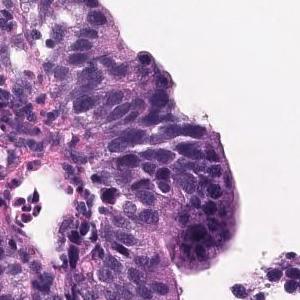
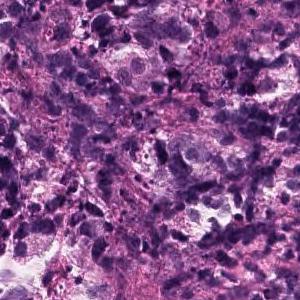
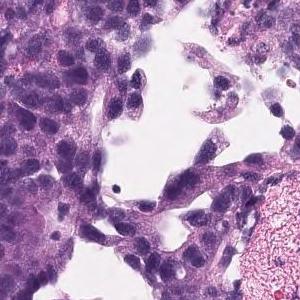
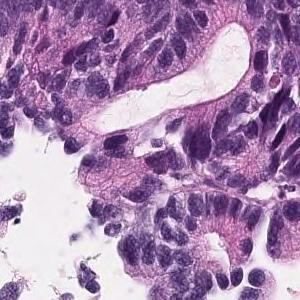
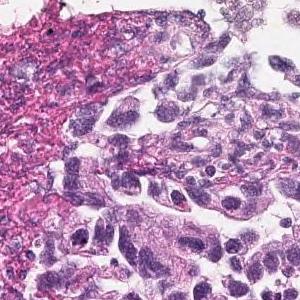
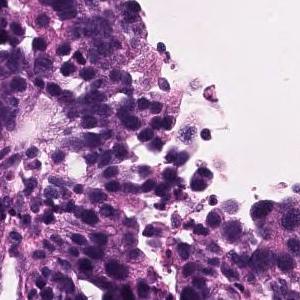
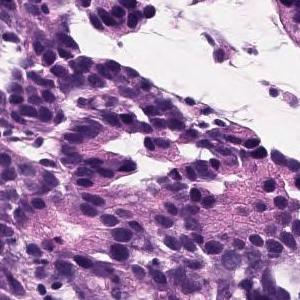
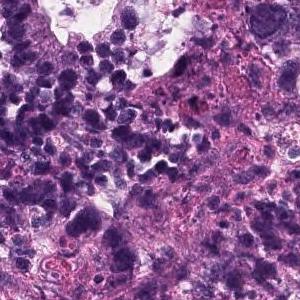
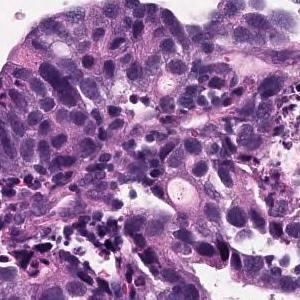
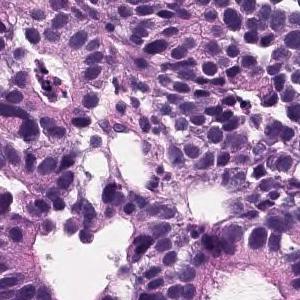
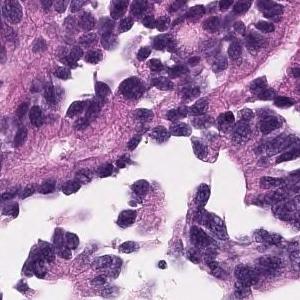
11 tiles cut from one stomach biopsy slide · H&E stain.
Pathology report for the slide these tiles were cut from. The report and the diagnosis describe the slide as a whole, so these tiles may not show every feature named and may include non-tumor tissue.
In the superficial epithelium, tumor tissue that invades by forming medium-sized to small, irregular ducts is observed. moderately differentiated tubular adenocarcinoma.
